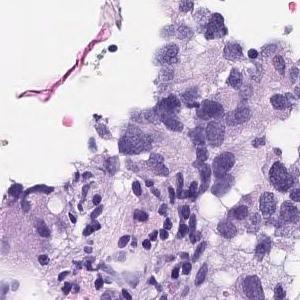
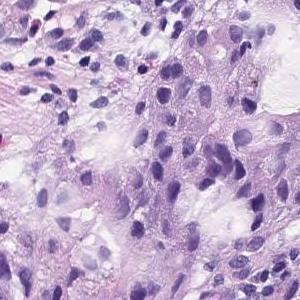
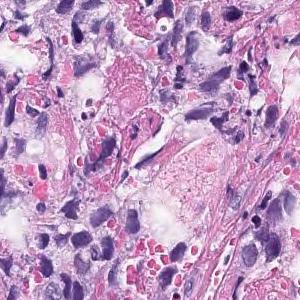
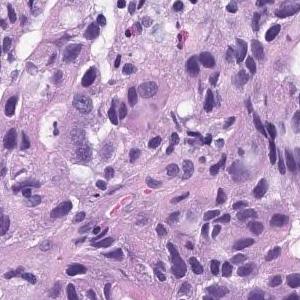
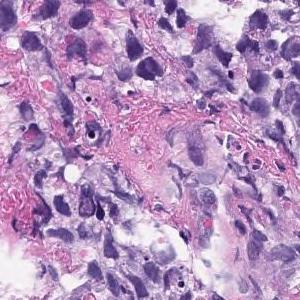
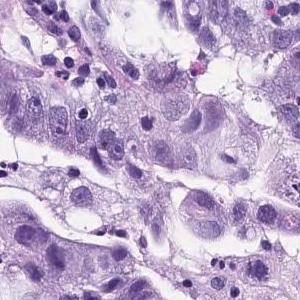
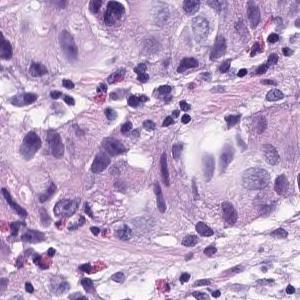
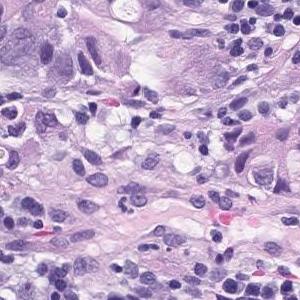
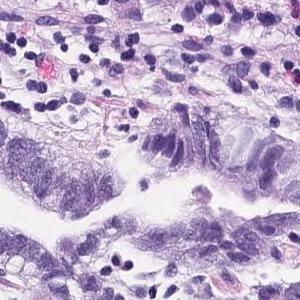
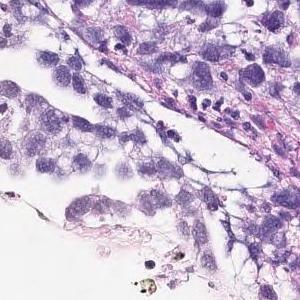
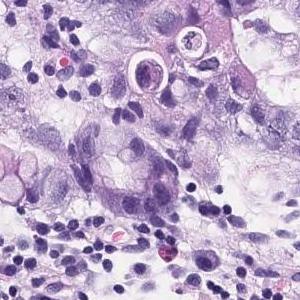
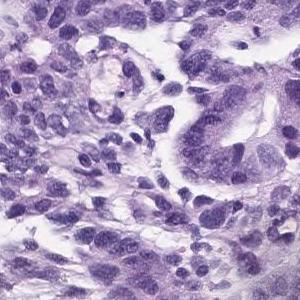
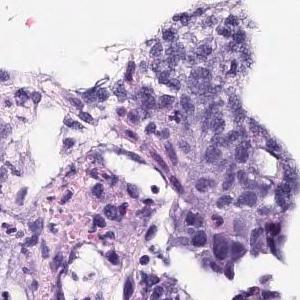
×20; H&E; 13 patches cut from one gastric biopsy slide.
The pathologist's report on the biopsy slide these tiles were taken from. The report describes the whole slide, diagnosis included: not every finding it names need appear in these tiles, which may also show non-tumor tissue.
In the superficial epithelium, tumor tissue that invades by forming medium-sized to small, irregular ducts is observed. Moderately differentiated adenocarcinoma.
Histologic type: Moderately differentiated tubular adenocarcinoma.
